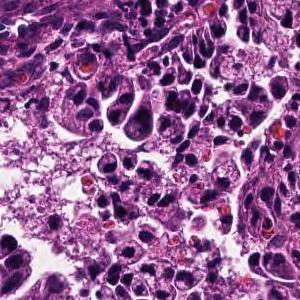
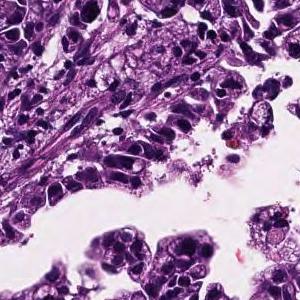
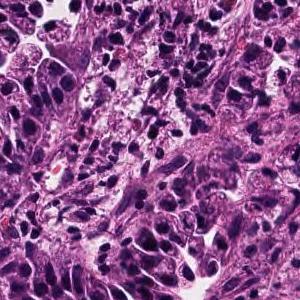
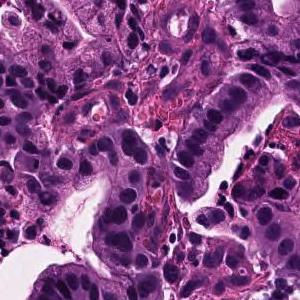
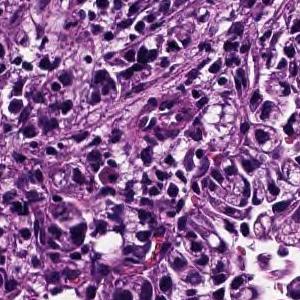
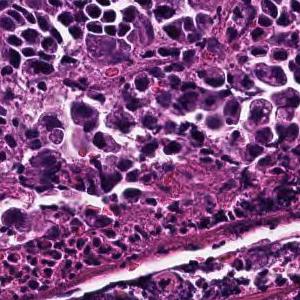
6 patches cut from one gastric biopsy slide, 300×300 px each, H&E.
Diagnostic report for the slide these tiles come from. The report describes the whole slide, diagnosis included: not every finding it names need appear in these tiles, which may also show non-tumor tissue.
Tumor cells are large, highly columnar, large club-shaped nuclei, and are associated with chromatin aggregation. Papillary adenocarcinoma.
